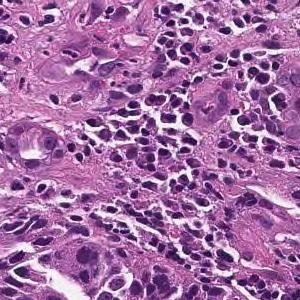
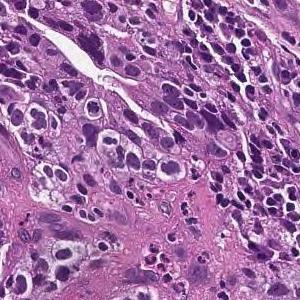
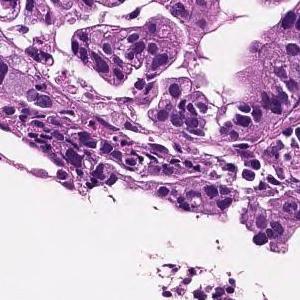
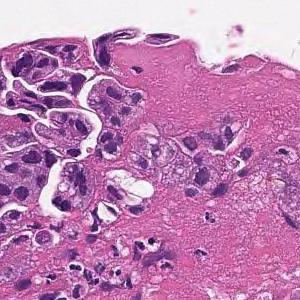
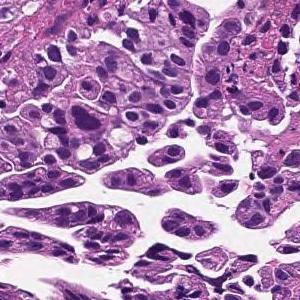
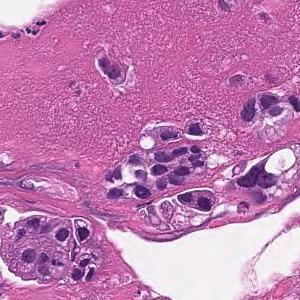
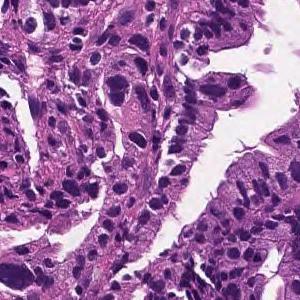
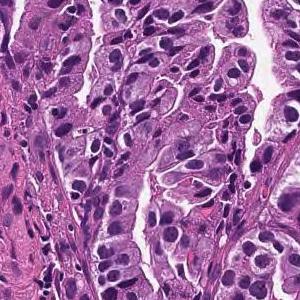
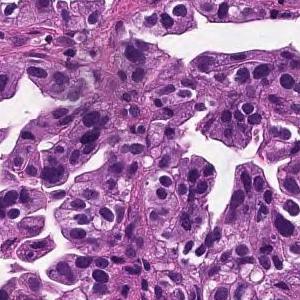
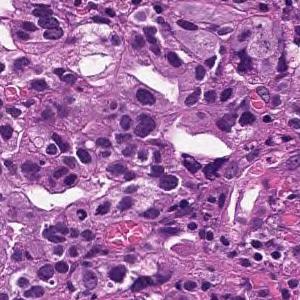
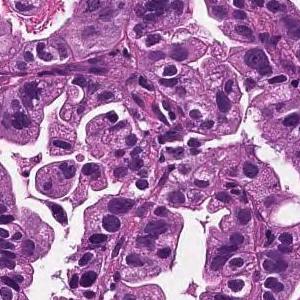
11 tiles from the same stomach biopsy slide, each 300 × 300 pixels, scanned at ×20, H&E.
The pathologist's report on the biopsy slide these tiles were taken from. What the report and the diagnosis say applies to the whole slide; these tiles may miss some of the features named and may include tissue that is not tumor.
Medium to small, irregular glandular ducts are formed in the superficial epithelium, and in some cases, the glandular ducts are fused to show solid alveolar lesions and infiltrating tumor tissue is observed. Moderately to poorly differentiated adenocarcinoma.
